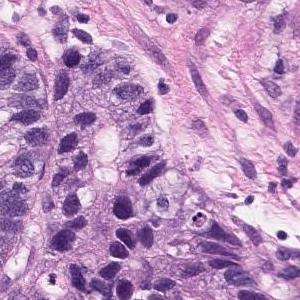
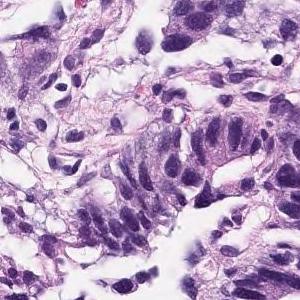
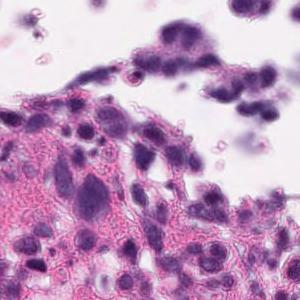
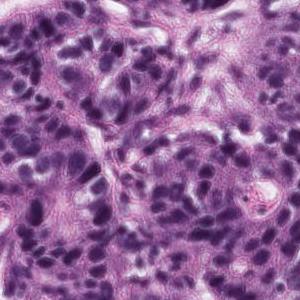
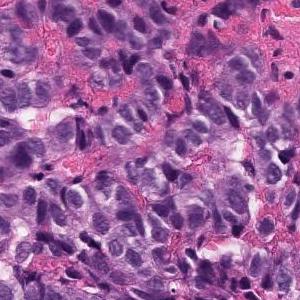
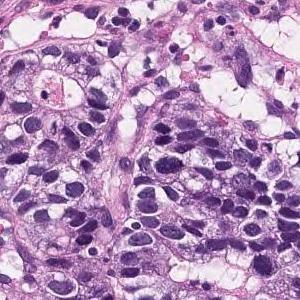
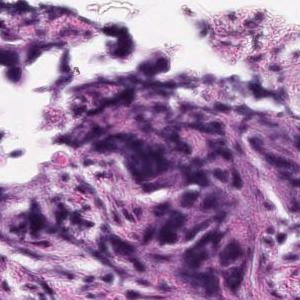
Hematoxylin and eosin stain; 7 image tiles from a single gastric biopsy slide; 300×300 px each.
Pathology report for the biopsy slide these tiles were cut from. Both the report and the diagnosis are for the whole slide: these tiles need not show every feature named, and some of the tissue shown may not be tumor.
Medium to small, irregular glandular ducts are formed in the superficial epithelium, and in some cases, the glandular ducts are fused to show solid alveolar lesions and infiltrating tumor tissue is observed. Moderately to poorly differentiated adenocarcinoma.
